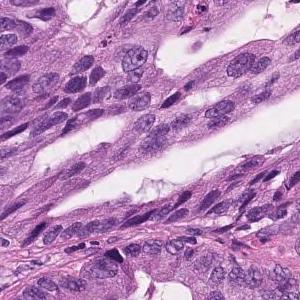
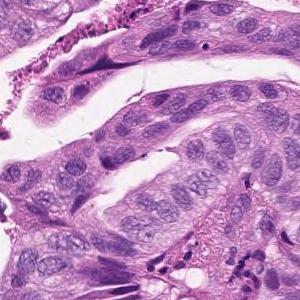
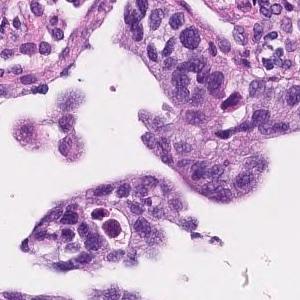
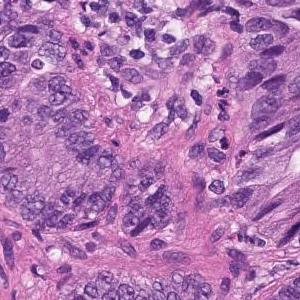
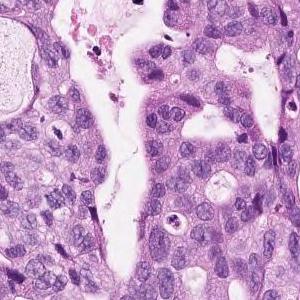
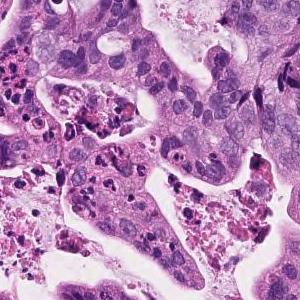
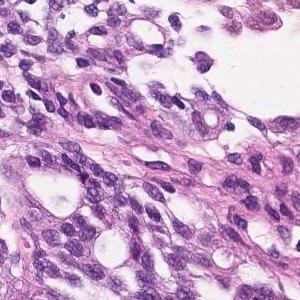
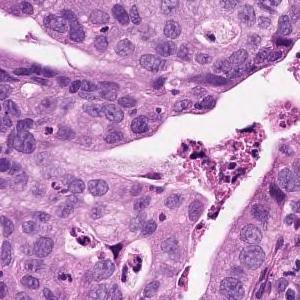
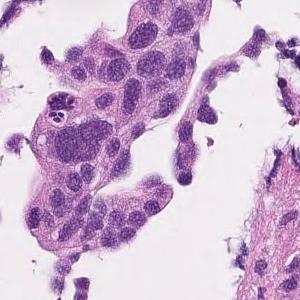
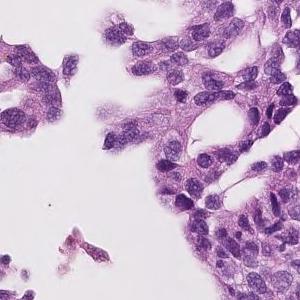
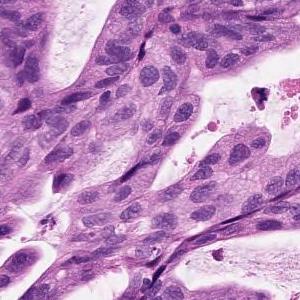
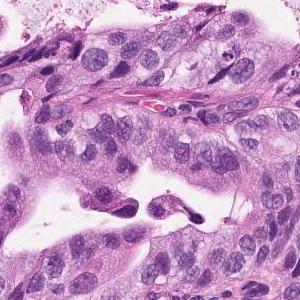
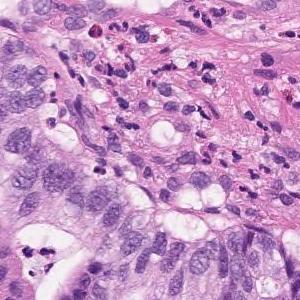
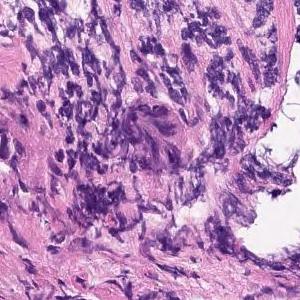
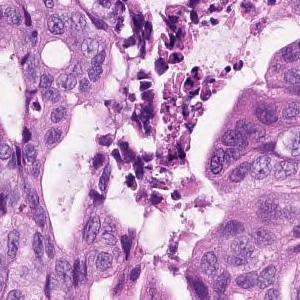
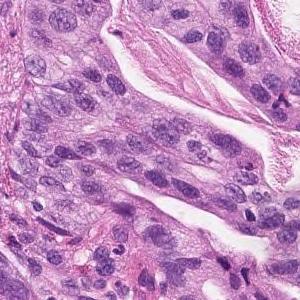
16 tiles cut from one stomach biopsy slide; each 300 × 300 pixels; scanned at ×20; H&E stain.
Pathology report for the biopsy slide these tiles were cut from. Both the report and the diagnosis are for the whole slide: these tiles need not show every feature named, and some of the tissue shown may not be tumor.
Atypical epithelium forming papillary or sieving ducts and infiltrating growth is observed. Papillary adenocarcinoma.
